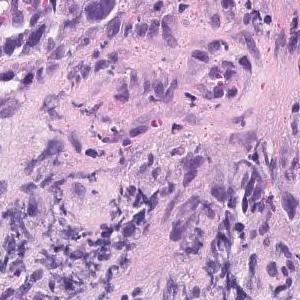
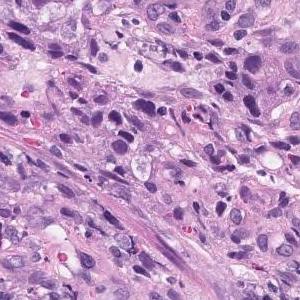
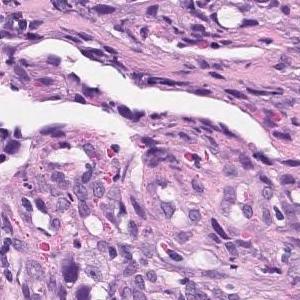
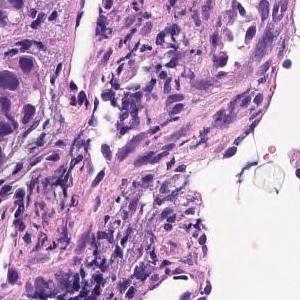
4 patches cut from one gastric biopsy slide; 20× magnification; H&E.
Pathology report for the slide these tiles were cut from. What the report and the diagnosis say applies to the whole slide; these tiles may miss some of the features named and may include tissue that is not tumor.
Group 5, Moderately differentiated adenocarcinoma
Tumor subtype: moderately differentiated tubular adenocarcinoma.
